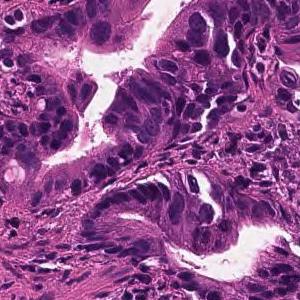
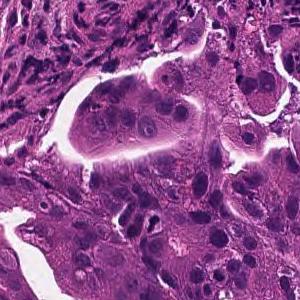
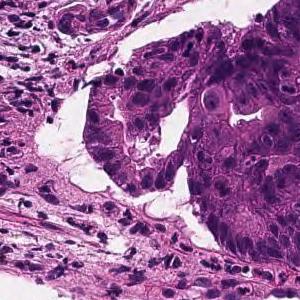
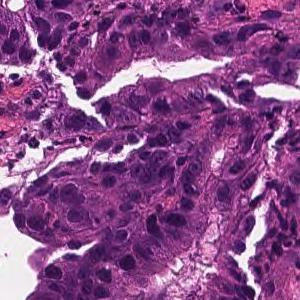
20× magnification; H&E stain; 4 tiles from the same stomach biopsy slide; 300 × 300 pixels each.
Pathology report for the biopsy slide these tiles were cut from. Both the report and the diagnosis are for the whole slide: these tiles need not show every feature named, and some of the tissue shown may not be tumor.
On the superficial epithelium, tumor tissue is found in which medium-sized irregular gland ducts fuse with each other and infiltrate. moderately differentiated tubular adenocarcinoma
